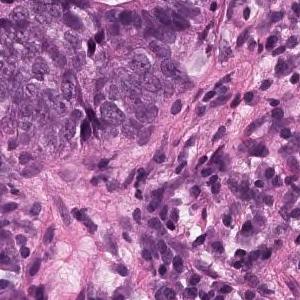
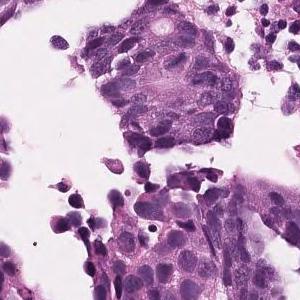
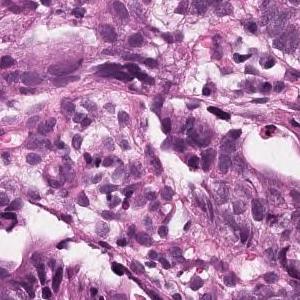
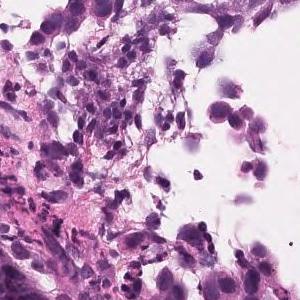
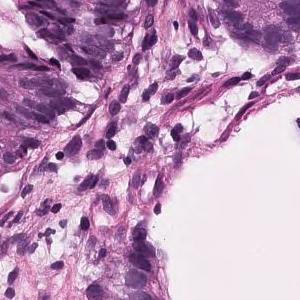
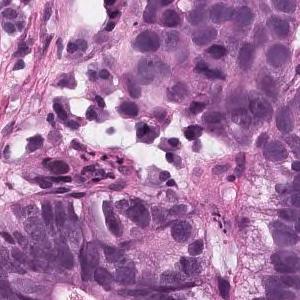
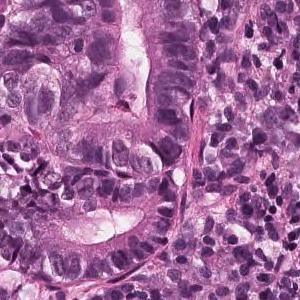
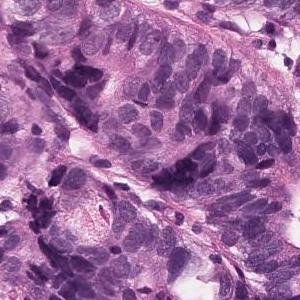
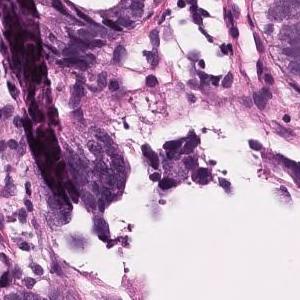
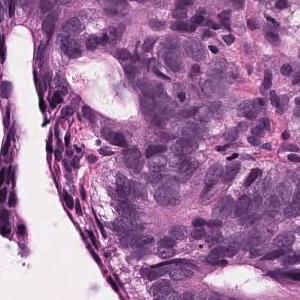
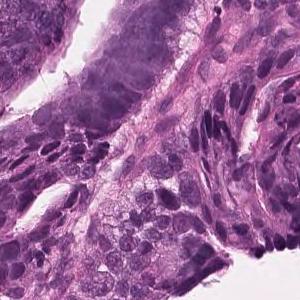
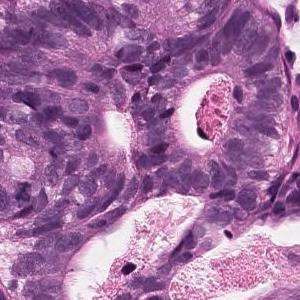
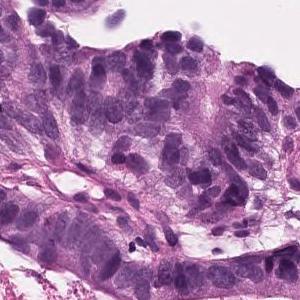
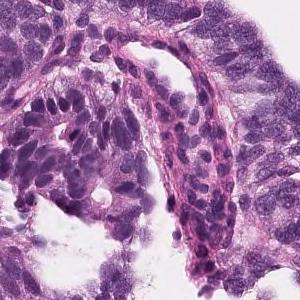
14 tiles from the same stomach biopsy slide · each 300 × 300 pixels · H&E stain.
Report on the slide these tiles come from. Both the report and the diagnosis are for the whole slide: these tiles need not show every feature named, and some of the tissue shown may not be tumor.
On the superficial epithelium, tumor tissue consisting of large, irregular glandular ducts partially fused and infiltrated is observed. Well to moderately differentiated tubular adenocarcinoma (well differentiated tubular adenocarcinoma, moderately differentiated tubular adenocarcinoma)
Histologic type: Well to moderately differentiated tubular adenocarcinoma.
